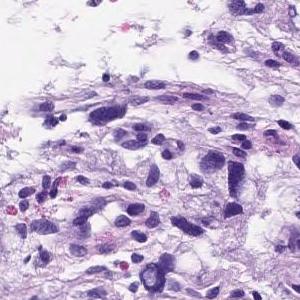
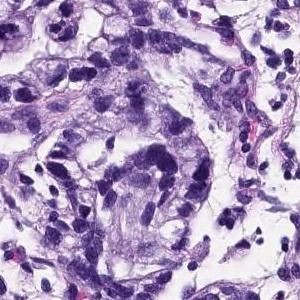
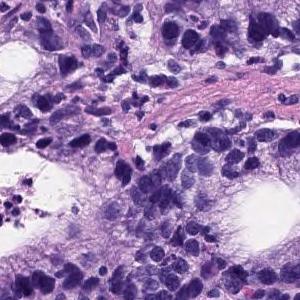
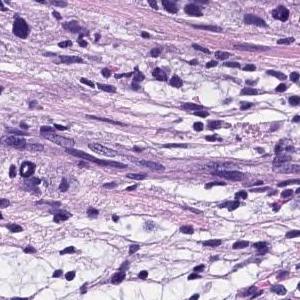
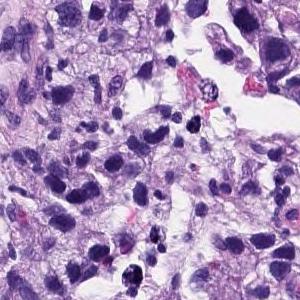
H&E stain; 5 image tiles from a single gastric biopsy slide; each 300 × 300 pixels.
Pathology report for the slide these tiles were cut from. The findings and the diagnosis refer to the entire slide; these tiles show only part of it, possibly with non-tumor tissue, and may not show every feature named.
Medium to small, irregular glandular ducts are formed in the superficial epithelium, and in some cases, the glandular ducts are fused to show solid alveolar lesions and infiltrating tumor tissue is observed. Poorly differentiated adenocarcinoma, Moderately differentiated adenocarcinoma.
Labeled in the dataset as moderately differentiated tubular adenocarcinoma.
